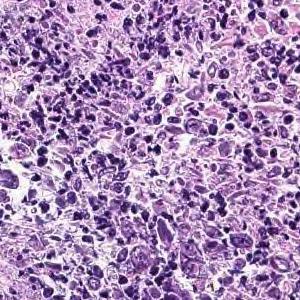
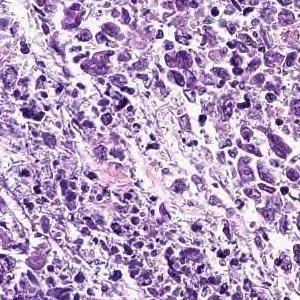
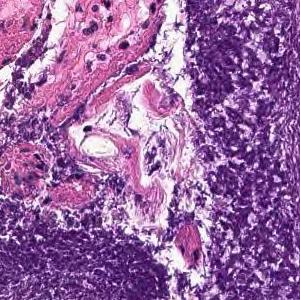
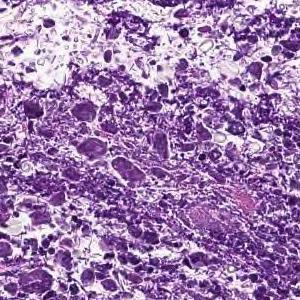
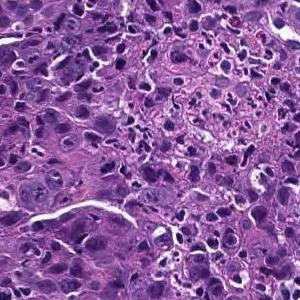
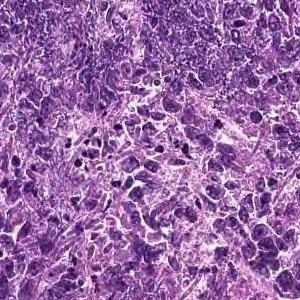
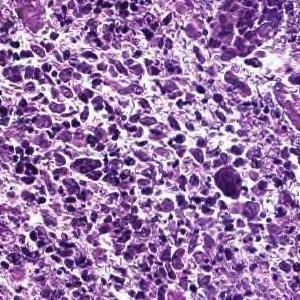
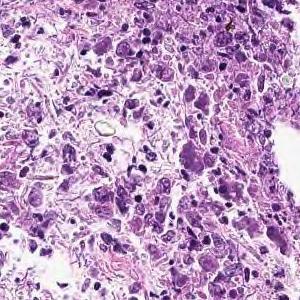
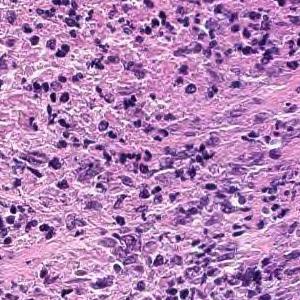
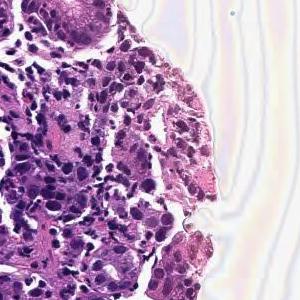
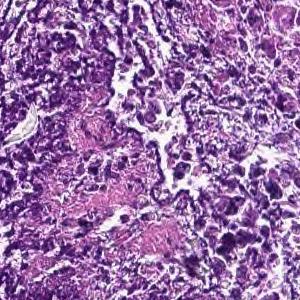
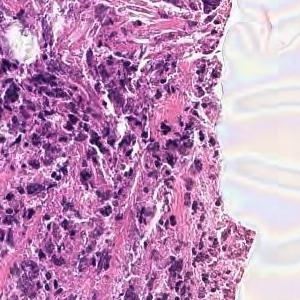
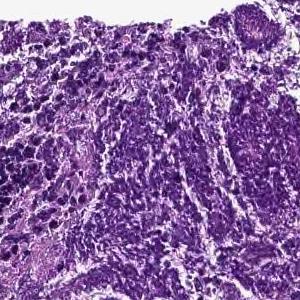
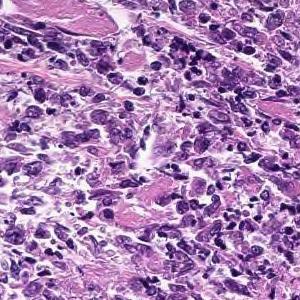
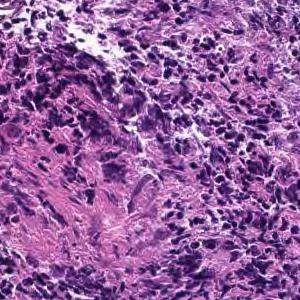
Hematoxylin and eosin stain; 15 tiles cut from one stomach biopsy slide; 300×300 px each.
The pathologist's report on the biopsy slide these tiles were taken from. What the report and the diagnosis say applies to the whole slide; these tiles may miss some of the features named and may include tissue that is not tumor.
Cancers with polygonal nuclei do not show glandular formation and are densely, in part, cord-like and proliferate. Poorly differentiated adenocarcinoma
Classified as poorly differentiated adenocarcinoma, non-solid type.
The non-solid type named here is a Japanese Classification of Gastric Carcinoma category.
